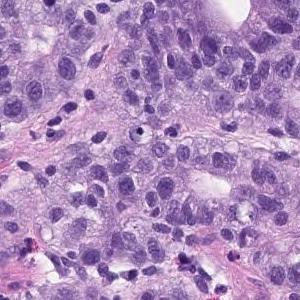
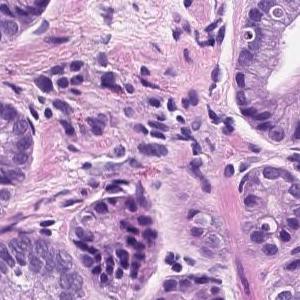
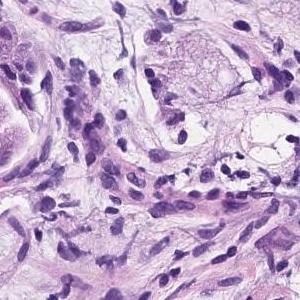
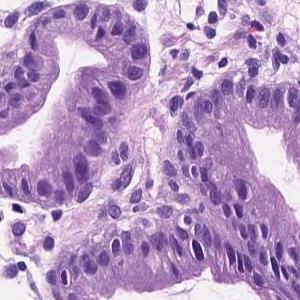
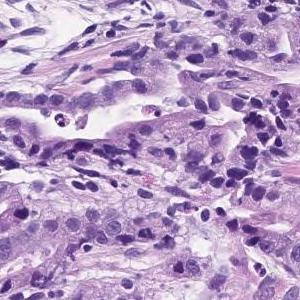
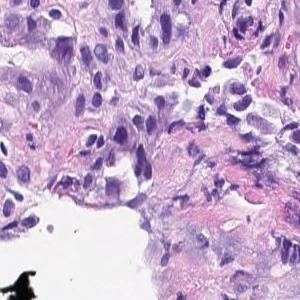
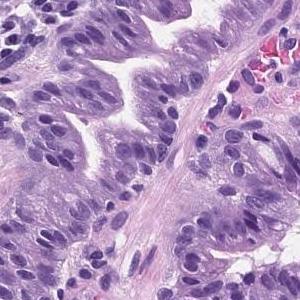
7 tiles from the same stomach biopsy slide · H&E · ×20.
Report on the slide these tiles come from. The report describes the whole slide, diagnosis included: not every finding it names need appear in these tiles, which may also show non-tumor tissue.
Tumor tissue consisting of medium-sized and irregular ducts is observed infiltrating in the superficial epithelium. Tumor cells are highly columnar, with nuclei aligned basolaterally and polarized. Well differentiated tubular adenocarcinoma.
